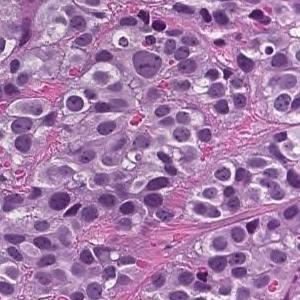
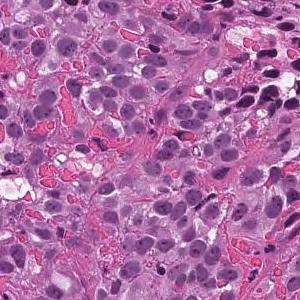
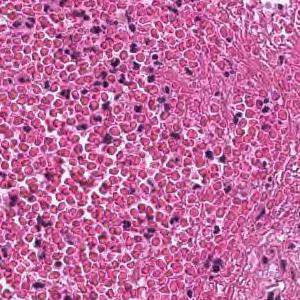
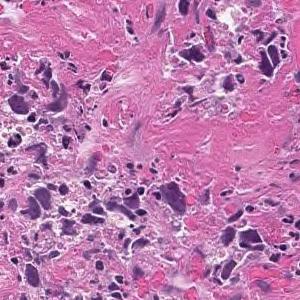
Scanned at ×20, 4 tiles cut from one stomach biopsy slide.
Pathology report for the slide these tiles were cut from. The report and the diagnosis cover the entire slide, so not every feature they name need be visible here, and some tissue shown may not be tumor.
The superficial epithelium shows a large sheet-like shape, and some tumor tissue infiltrates with small irregular ducts. Poorly differentiated adenocarcinoma, solid-type
Tumor subtype: poorly differentiated adenocarcinoma, solid type (Japanese Classification of Gastric Carcinoma). The WHO 2019 equivalent is tubular adenocarcinoma, poorly differentiated.
